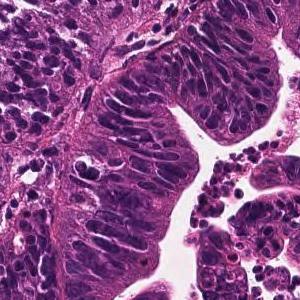
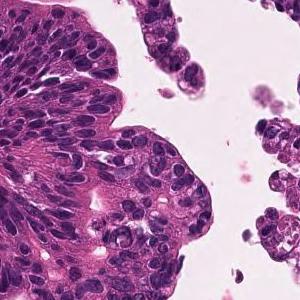
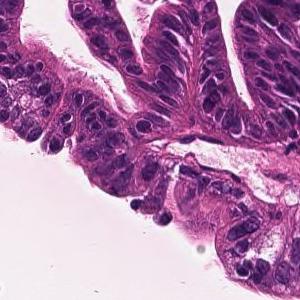
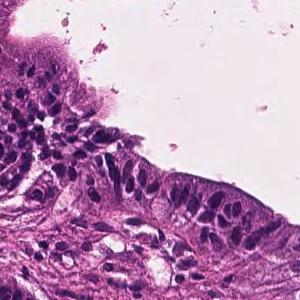
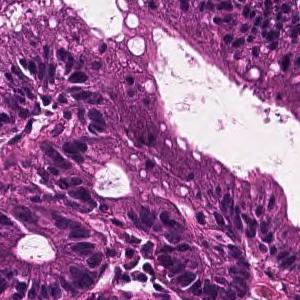
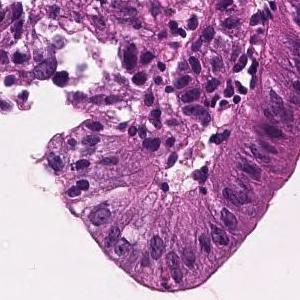
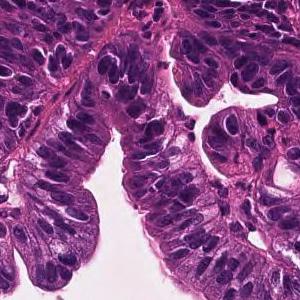
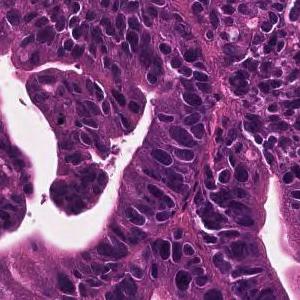
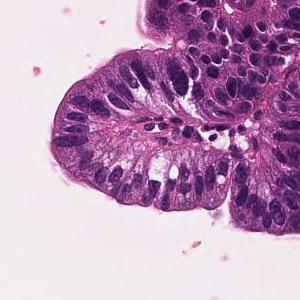
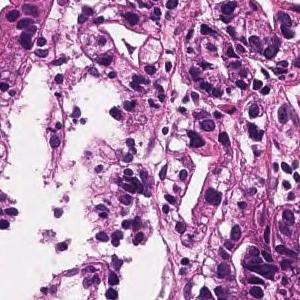
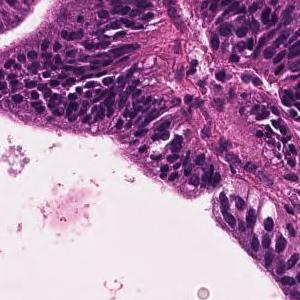
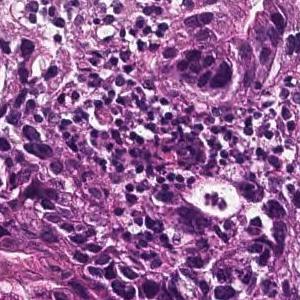
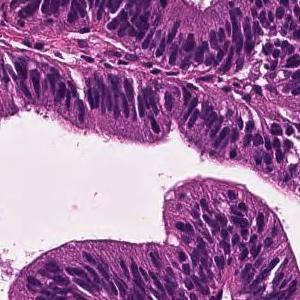
13 patches cut from one gastric biopsy slide; ×20.
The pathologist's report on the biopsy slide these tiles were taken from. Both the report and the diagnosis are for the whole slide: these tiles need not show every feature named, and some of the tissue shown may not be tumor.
A large irregular tubular structure is exhibited in the epithelium, and tumor tissue that partially fuses and infiltrates and proliferates is observed. Large columnar tumor cells exhibit enlarged nucleus, hyperchromatism, and mitotic figures. Well differentiated tubular adenocarcinoma
